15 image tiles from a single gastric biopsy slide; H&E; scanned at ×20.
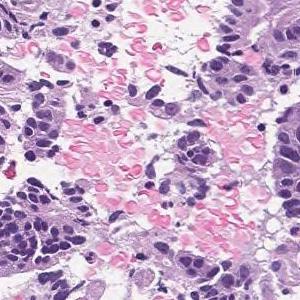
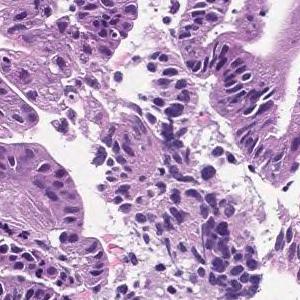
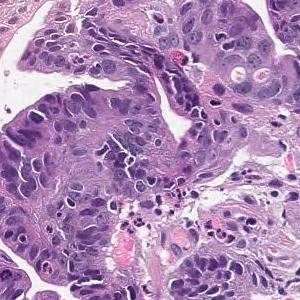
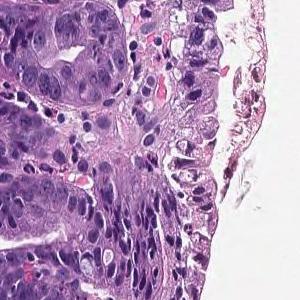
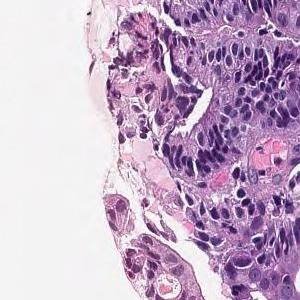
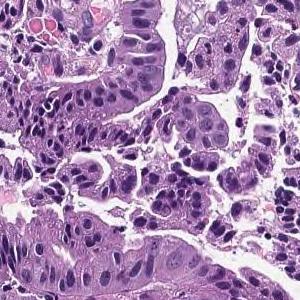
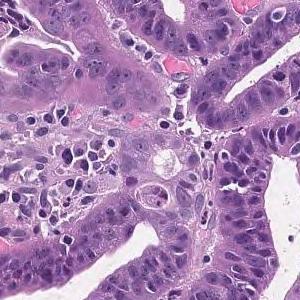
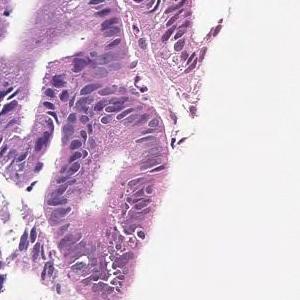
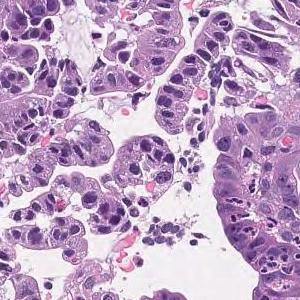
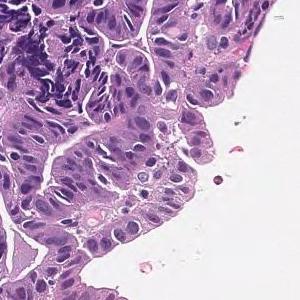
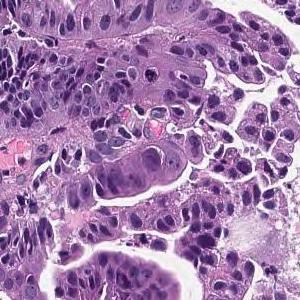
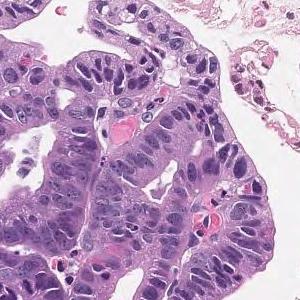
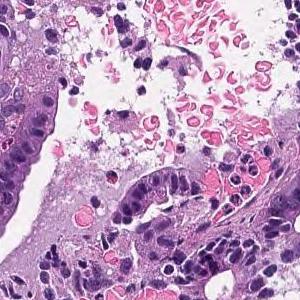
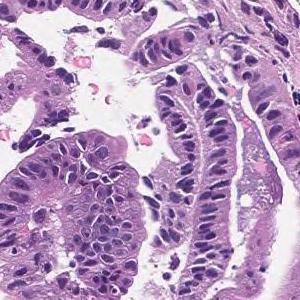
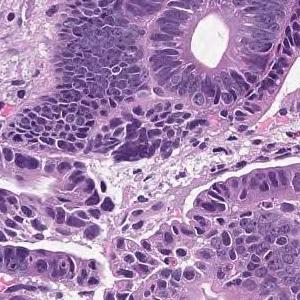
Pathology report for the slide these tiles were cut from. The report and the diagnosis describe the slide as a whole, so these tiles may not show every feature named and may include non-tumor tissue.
Tumor cells are large, highly columnar, large club-shaped nuclei, and are associated with chromatin aggregation. Papillary adenocarcinoma.
